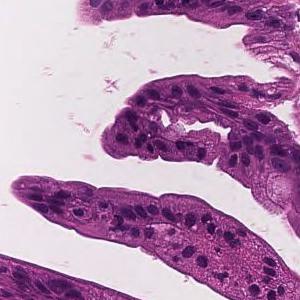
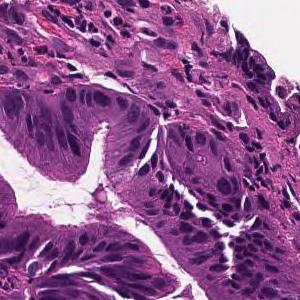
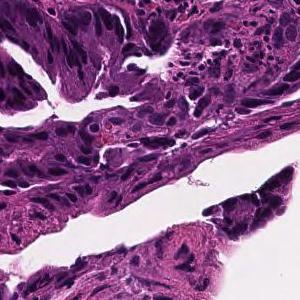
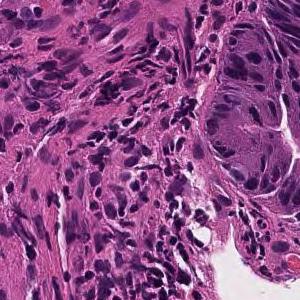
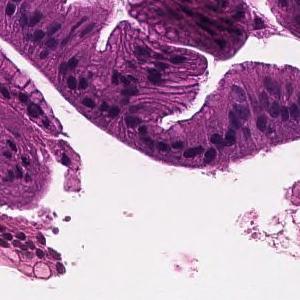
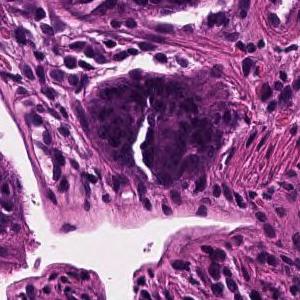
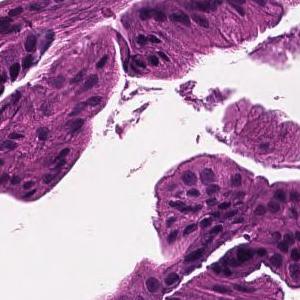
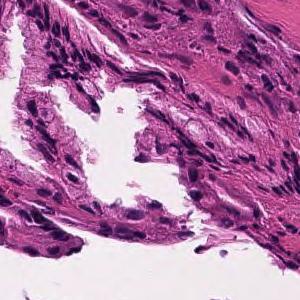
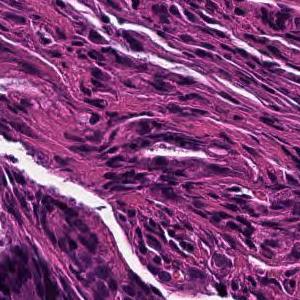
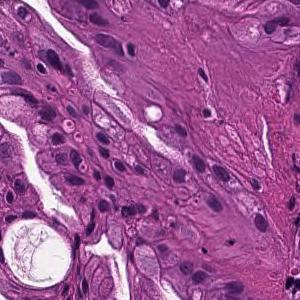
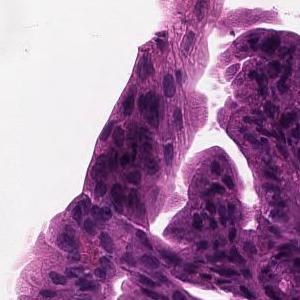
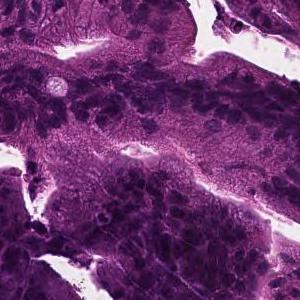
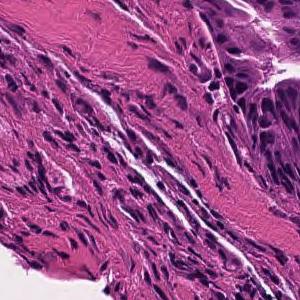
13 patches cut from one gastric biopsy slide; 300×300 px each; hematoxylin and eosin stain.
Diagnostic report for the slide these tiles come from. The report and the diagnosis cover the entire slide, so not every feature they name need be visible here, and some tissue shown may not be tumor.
Tumor cells are large, highly columnar, large club-shaped nuclei, and are associated with chromatin aggregation. Papillary adenocarcinoma.
